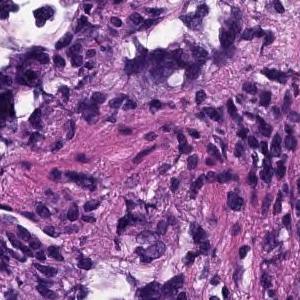
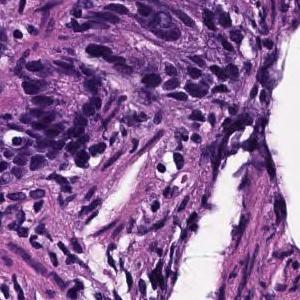
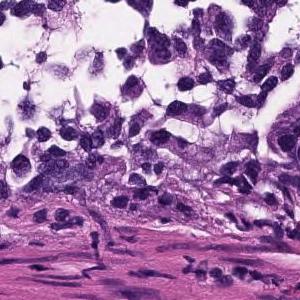
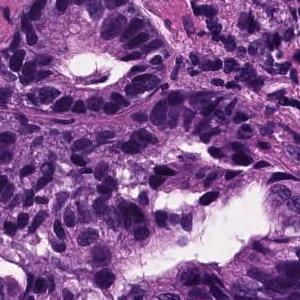
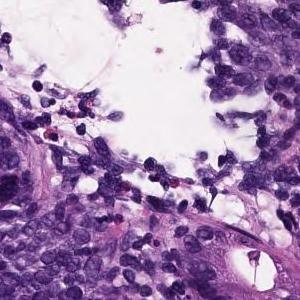
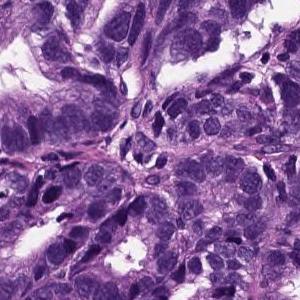
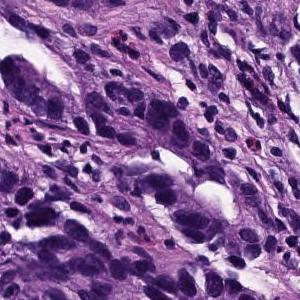
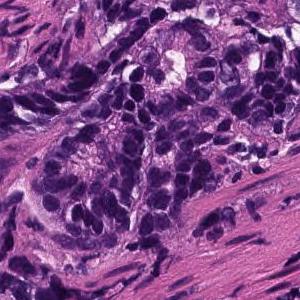
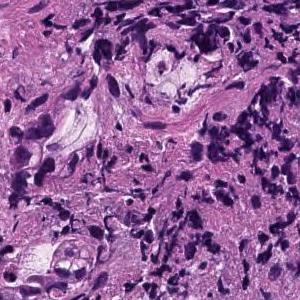
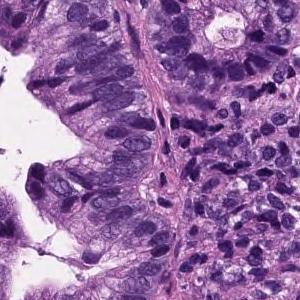
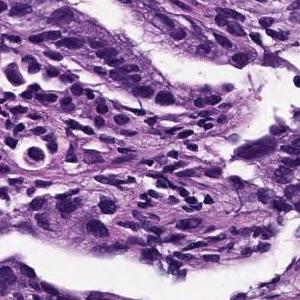
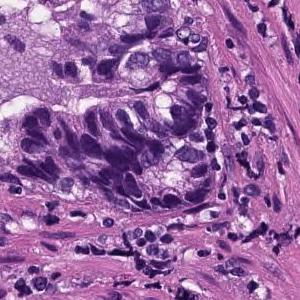
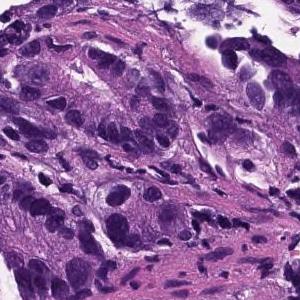
Scanned at ×20; 13 tiles from the same stomach biopsy slide; 300 × 300 pixels each.
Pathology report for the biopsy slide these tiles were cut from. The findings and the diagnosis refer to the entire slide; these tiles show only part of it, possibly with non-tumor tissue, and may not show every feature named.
In the superficial epithelium, tumor tissue that invades by forming medium-sized to small, irregular ducts is observed. Moderately differentiated adenocarcinoma.
Histological subtype: Moderately differentiated tubular adenocarcinoma.
